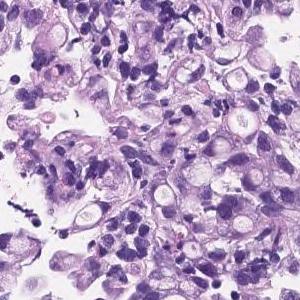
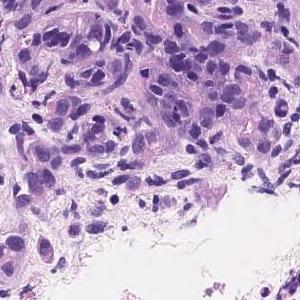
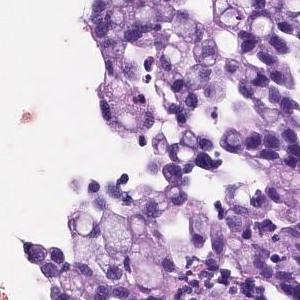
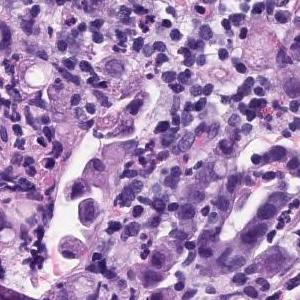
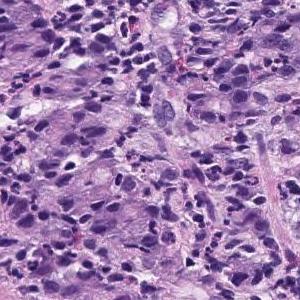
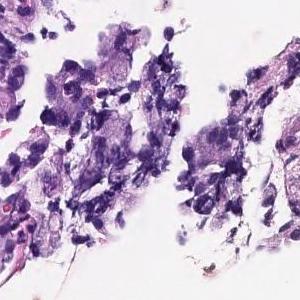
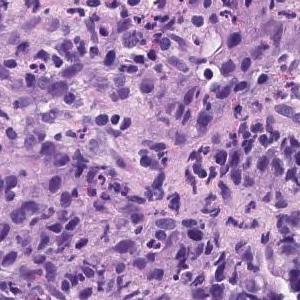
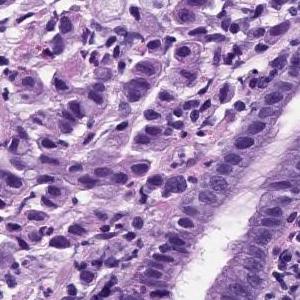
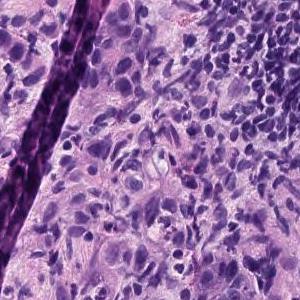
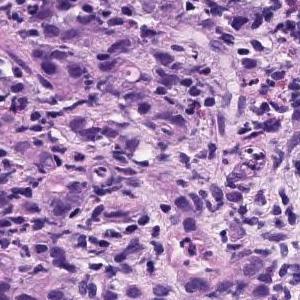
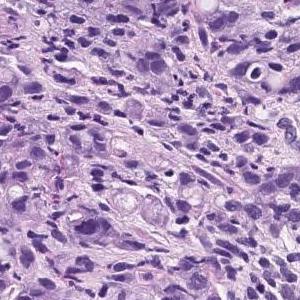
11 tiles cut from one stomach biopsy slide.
Report on the slide these tiles come from. What the report and the diagnosis say applies to the whole slide; these tiles may miss some of the features named and may include tissue that is not tumor.
Diffusely growing signet-ring cells are found in the lamina propria. Signet ring cell carcinoma.
